H&E stain · ×20 · 12 image tiles from a single gastric biopsy slide · 300×300 px each.
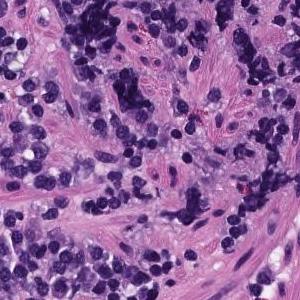
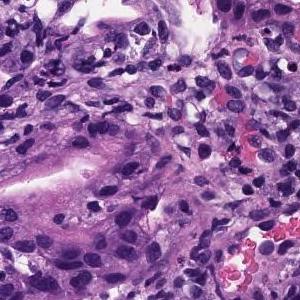
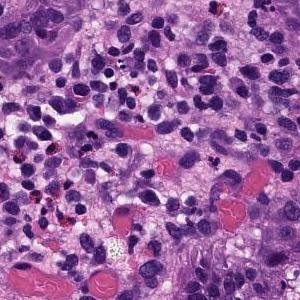
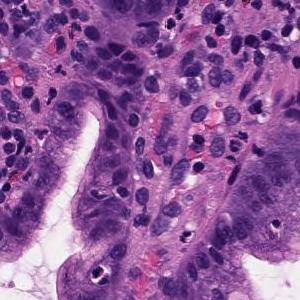
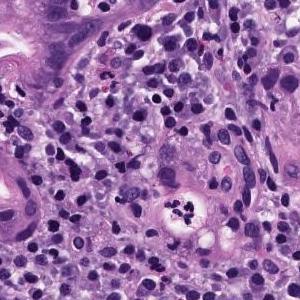
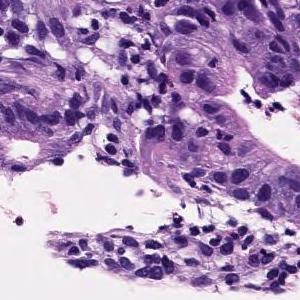
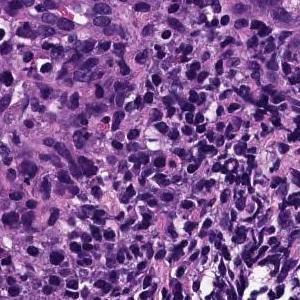
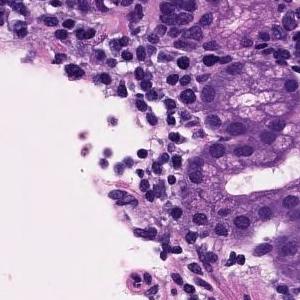
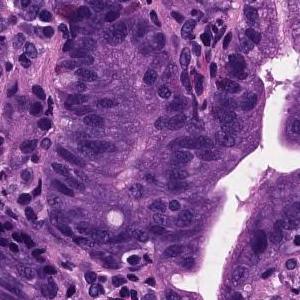
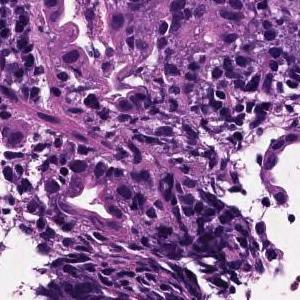
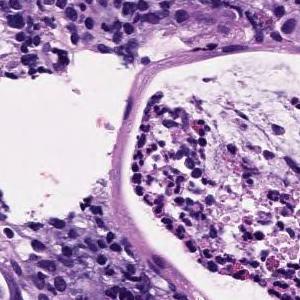
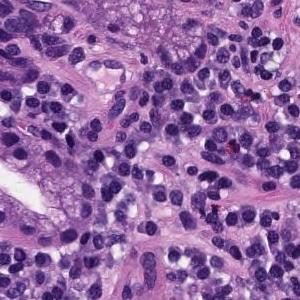
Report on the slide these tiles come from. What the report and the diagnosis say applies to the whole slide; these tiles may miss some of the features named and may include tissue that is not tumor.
Medium to small, irregular glandular ducts are formed in the superficial epithelium, and in some cases, the glandular ducts are fused to show solid alveolar lesions and infiltrating tumor tissue is observed. Moderately to poorly differentiated adenocarcinoma.
